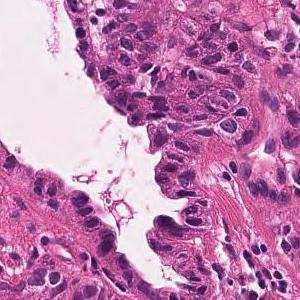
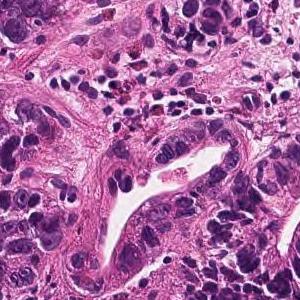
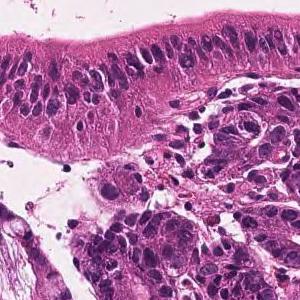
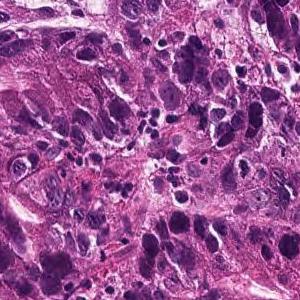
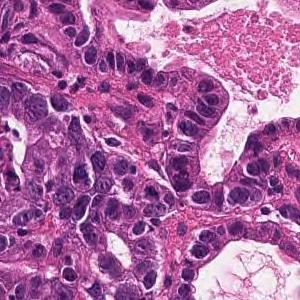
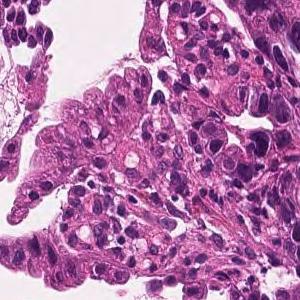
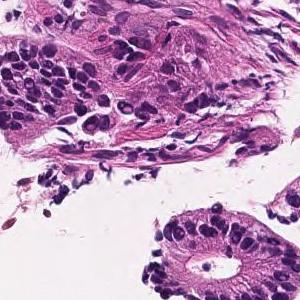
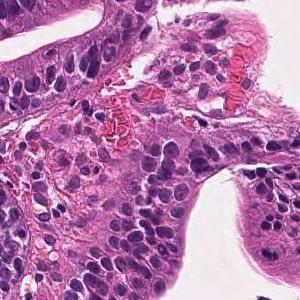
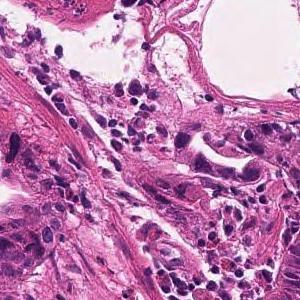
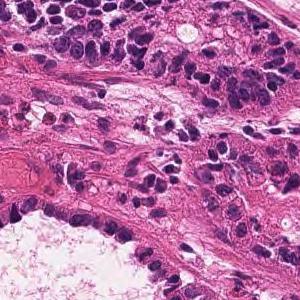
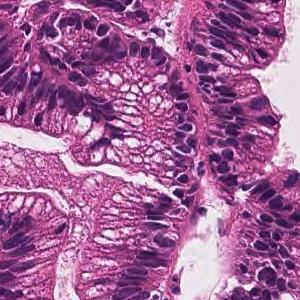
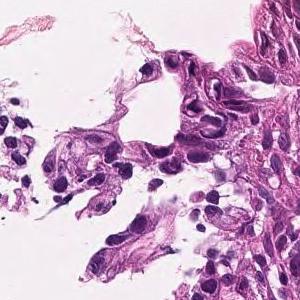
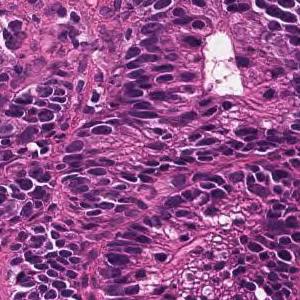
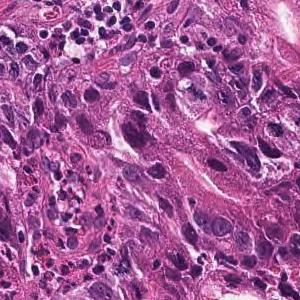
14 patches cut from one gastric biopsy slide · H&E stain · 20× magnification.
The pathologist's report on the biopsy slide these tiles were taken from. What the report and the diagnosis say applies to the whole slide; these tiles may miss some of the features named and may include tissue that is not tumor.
In the superficial epithelium, tumor tissue that invades by forming medium-sized to small, irregular ducts is observed. moderately differentiated tubular adenocarcinoma.
